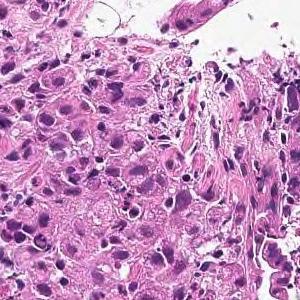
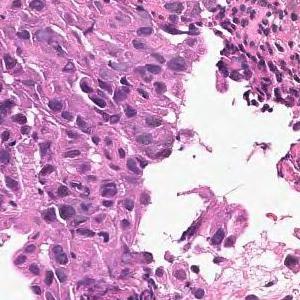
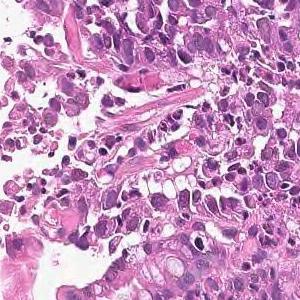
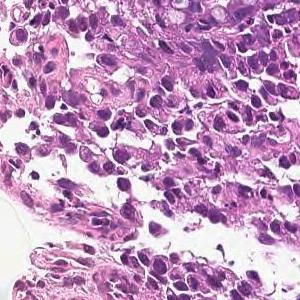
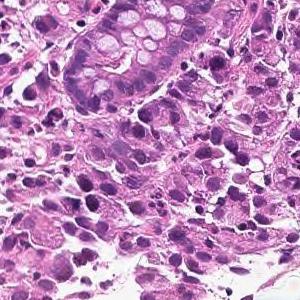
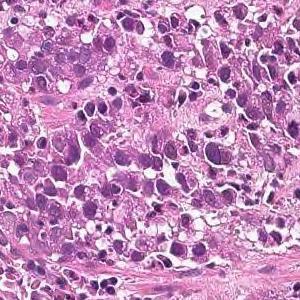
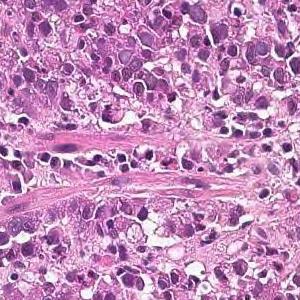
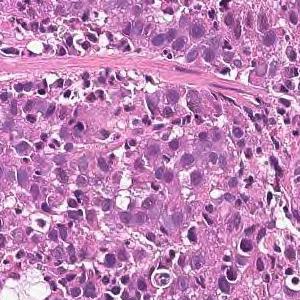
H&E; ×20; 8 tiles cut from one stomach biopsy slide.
Report on the slide these tiles come from. The report describes the whole slide, diagnosis included: not every finding it names need appear in these tiles, which may also show non-tumor tissue.
The superficial epithelium shows a large sheet-like shape, and some tumor tissue infiltrates with small irregular ducts. Poorly differentiated adenocarcinoma, solid-type
Histological subtype: Poorly differentiated adenocarcinoma, solid type (Japanese Classification of Gastric Carcinoma). The WHO 2019 equivalent is tubular adenocarcinoma, poorly differentiated.
